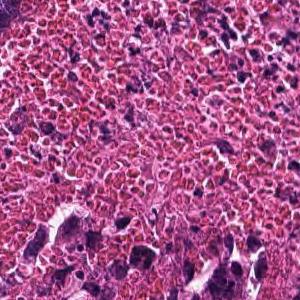
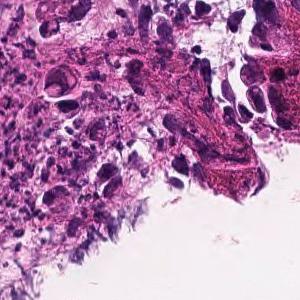
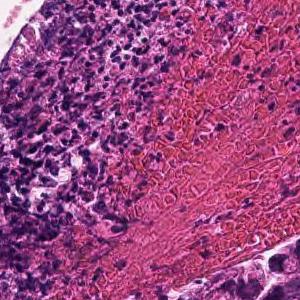
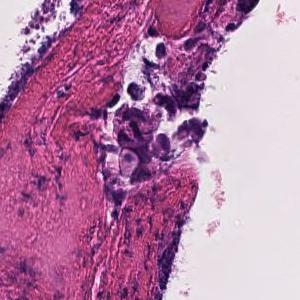
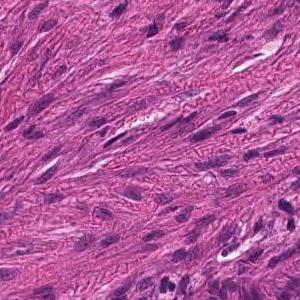
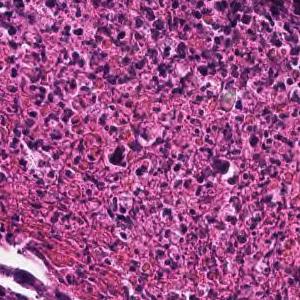
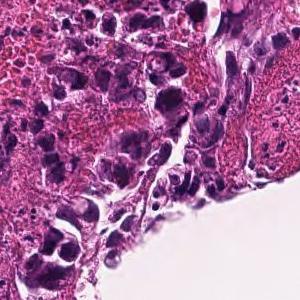
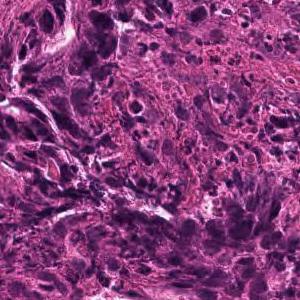
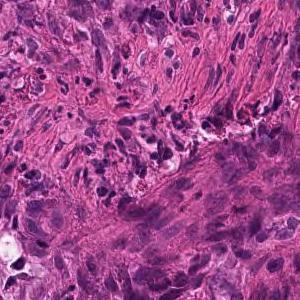
Hematoxylin and eosin stain · ×20 · 9 tiles cut from one stomach biopsy slide.
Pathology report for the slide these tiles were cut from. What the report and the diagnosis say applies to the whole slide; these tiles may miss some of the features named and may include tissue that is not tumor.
In the superficial epithelium, tumor tissue that invades by forming medium-sized to small, irregular ducts is observed. moderately differentiated tubular adenocarcinoma.
